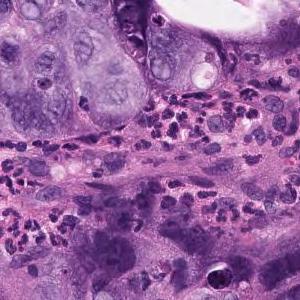
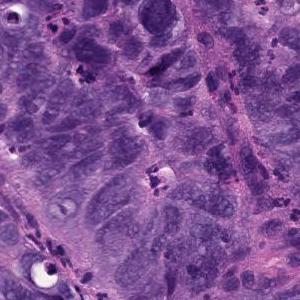
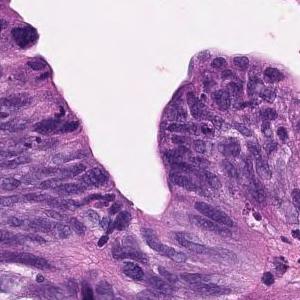
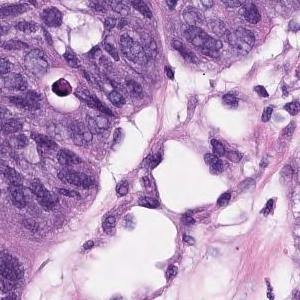
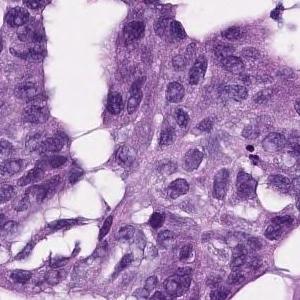
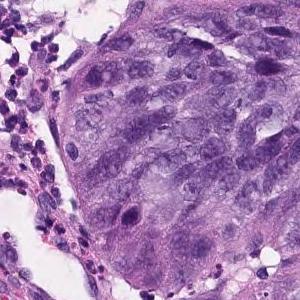
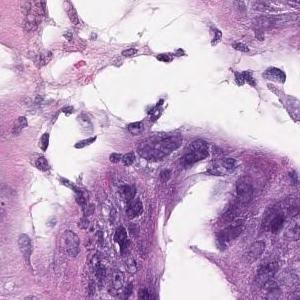
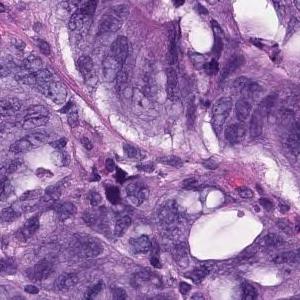
H&E stain; 8 tiles cut from one stomach biopsy slide.
Diagnostic report for the slide these tiles come from. The report and the diagnosis describe the slide as a whole, so these tiles may not show every feature named and may include non-tumor tissue.
In the superficial epithelium, tumor tissue that invades by forming medium-sized to small, irregular ducts is observed. Moderately differentiated adenocarcinoma.
Tumor subtype: moderately differentiated tubular adenocarcinoma.
